4 tiles from the same stomach biopsy slide; each 300 × 300 pixels; hematoxylin and eosin stain.
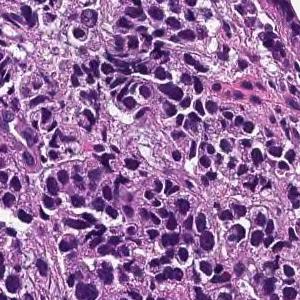
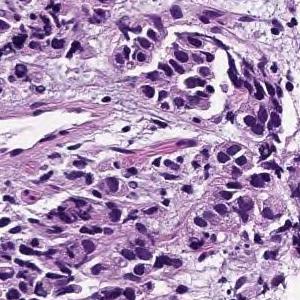
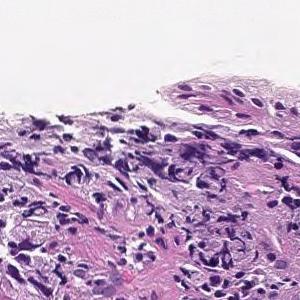
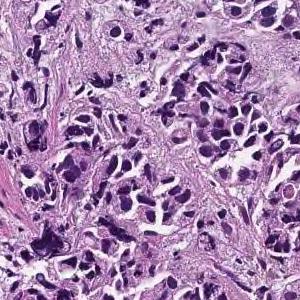
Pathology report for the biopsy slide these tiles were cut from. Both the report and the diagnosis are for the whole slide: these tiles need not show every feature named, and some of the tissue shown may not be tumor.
The lamina propria shows small cord-like tumor tissue that infiltrates with fibrosis and marked chronic inflammatory cell infiltration. Poorly differentiated adenocarcinoma, non-solid type
The term "non-solid type" comes from the Japanese Classification of Gastric Carcinoma.
